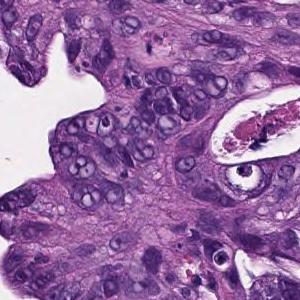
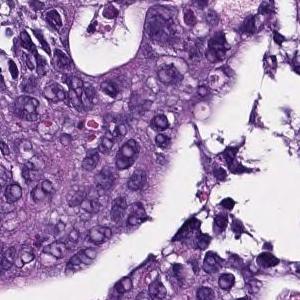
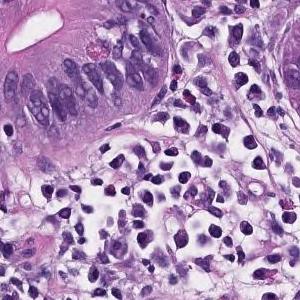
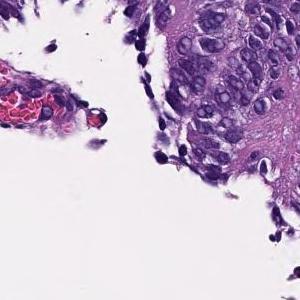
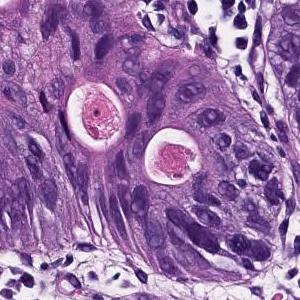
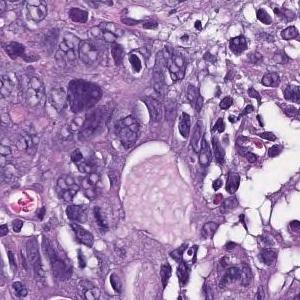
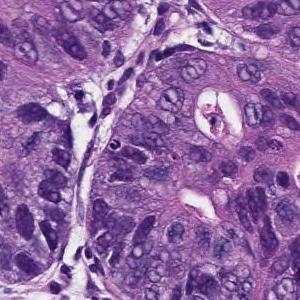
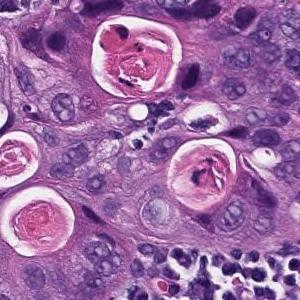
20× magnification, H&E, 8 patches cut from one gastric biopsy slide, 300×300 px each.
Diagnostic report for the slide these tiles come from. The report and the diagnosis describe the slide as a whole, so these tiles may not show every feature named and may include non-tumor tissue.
In the superficial epithelium, tumor tissue that invades by forming medium-sized to small, irregular ducts is observed. moderately differentiated tubular adenocarcinoma.
